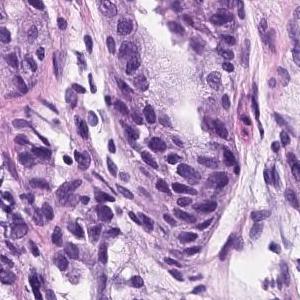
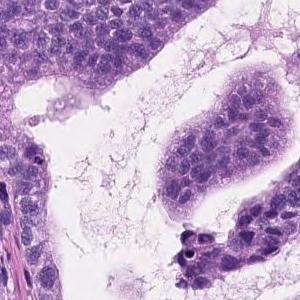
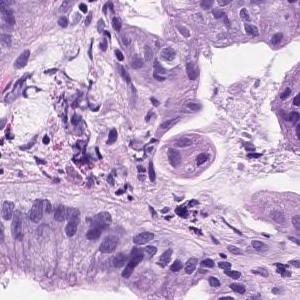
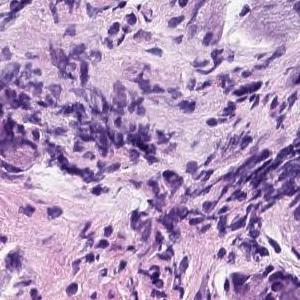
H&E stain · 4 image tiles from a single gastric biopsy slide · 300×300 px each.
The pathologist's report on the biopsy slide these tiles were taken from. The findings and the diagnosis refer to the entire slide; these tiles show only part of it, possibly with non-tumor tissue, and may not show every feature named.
Tumor tissue consisting of medium-sized and irregular ducts is observed infiltrating in the superficial epithelium. Tumor cells are highly columnar, with nuclei aligned basolaterally and polarized. Well differentiated tubular adenocarcinoma.
